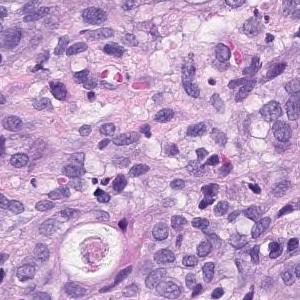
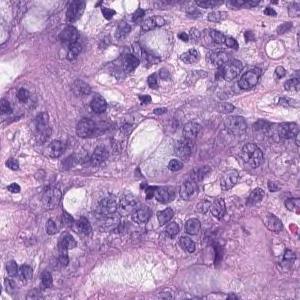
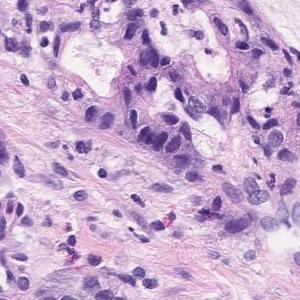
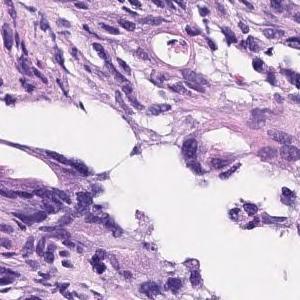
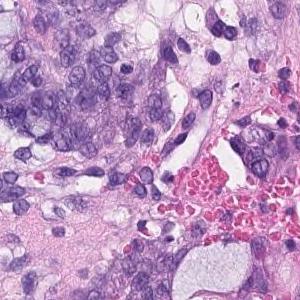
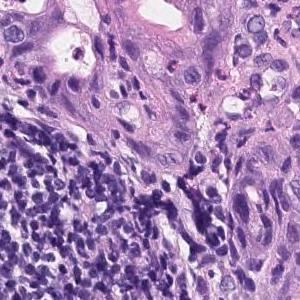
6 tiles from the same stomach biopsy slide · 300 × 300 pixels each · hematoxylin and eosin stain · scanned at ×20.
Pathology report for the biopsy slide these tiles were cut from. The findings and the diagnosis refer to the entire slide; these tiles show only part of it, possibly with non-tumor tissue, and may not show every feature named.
Irregularly fused atypical ducts proliferating while replacing existing ducts was observed. moderately differentiated tubular adenocarcinoma
